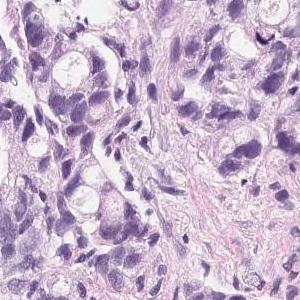
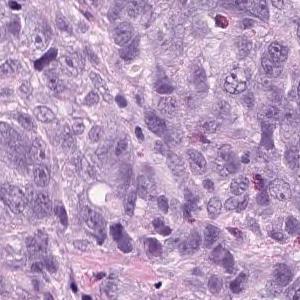
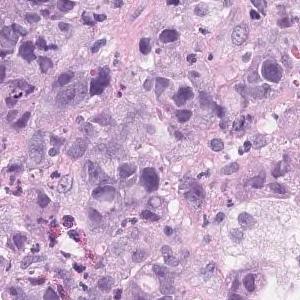
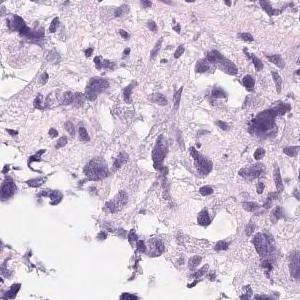
4 tiles cut from one stomach biopsy slide; each 300 × 300 pixels; H&E stain; scanned at ×20.
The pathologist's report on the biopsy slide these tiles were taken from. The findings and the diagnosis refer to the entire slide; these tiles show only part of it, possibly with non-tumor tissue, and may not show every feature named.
Tumor tissue that infiltrates and proliferates by forming small glandular cavities in the superficial layer to the submucosa or forming a mass is observed. moderately differentiated tubular adenocarcinoma
